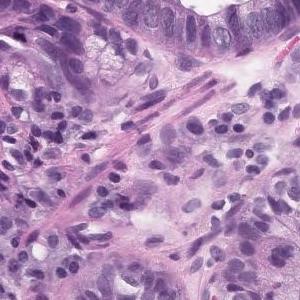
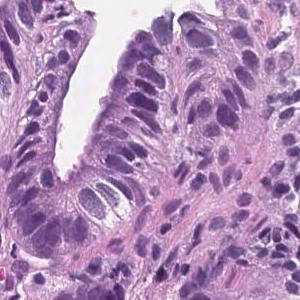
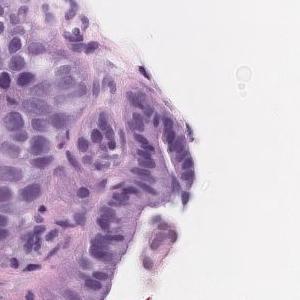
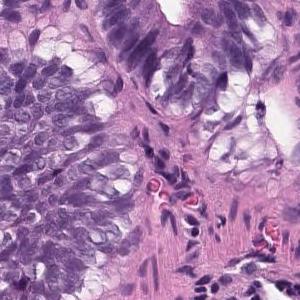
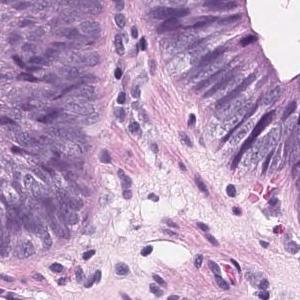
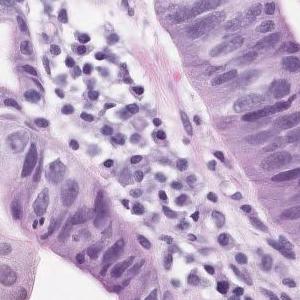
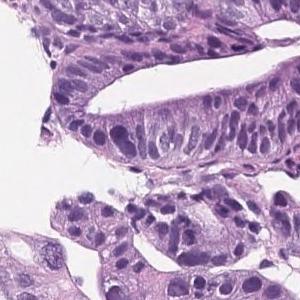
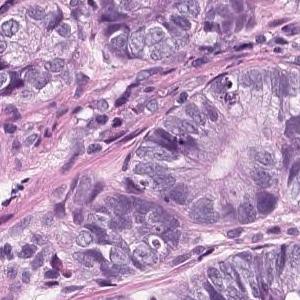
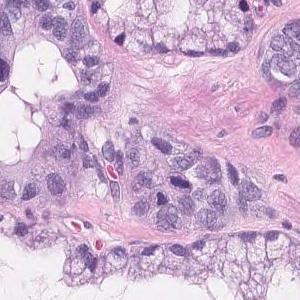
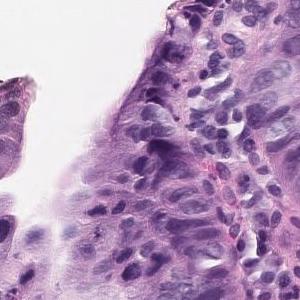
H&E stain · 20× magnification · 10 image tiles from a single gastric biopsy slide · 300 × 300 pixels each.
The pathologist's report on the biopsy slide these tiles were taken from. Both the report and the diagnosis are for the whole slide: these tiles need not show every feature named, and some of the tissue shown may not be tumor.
Tumor tissue consisting of medium-sized and irregular ducts is observed infiltrating in the superficial epithelium. Tumor cells are highly columnar, with nuclei aligned basolaterally and polarized. Well differentiated tubular adenocarcinoma.
